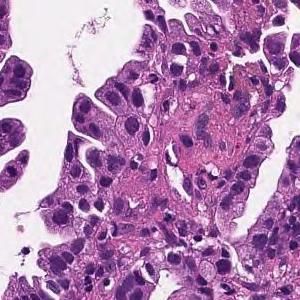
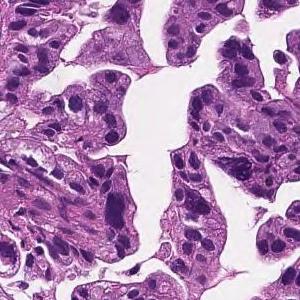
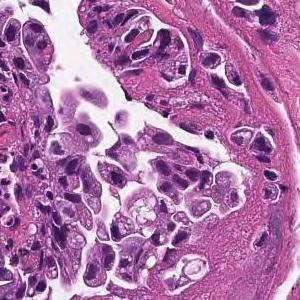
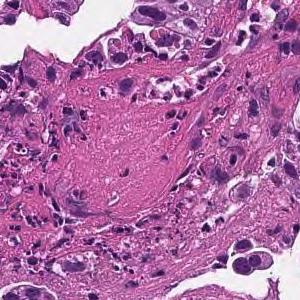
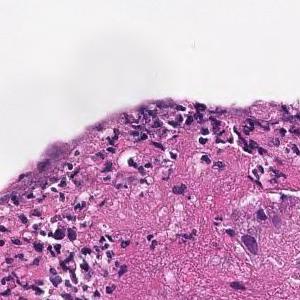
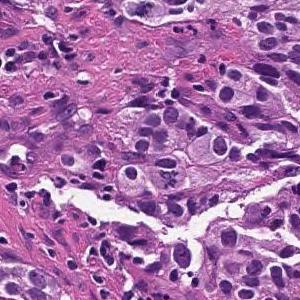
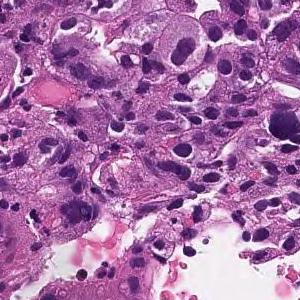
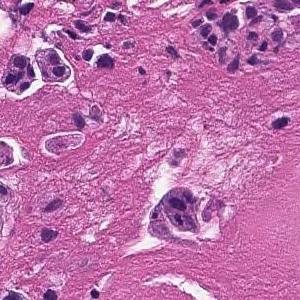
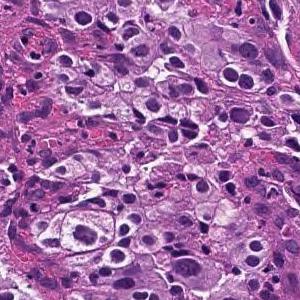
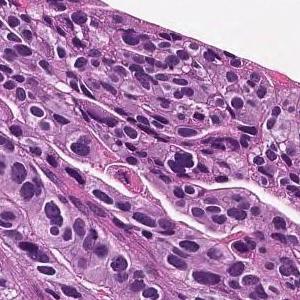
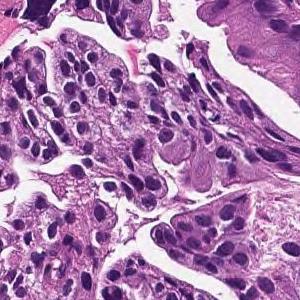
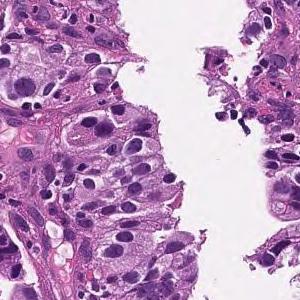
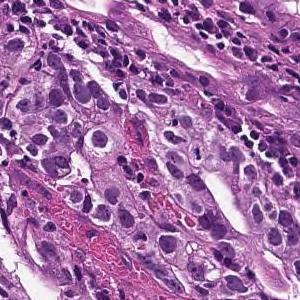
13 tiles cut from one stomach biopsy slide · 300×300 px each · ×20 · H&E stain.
Diagnostic report for the slide these tiles come from. The report and the diagnosis cover the entire slide, so not every feature they name need be visible here, and some tissue shown may not be tumor.
Medium to small, irregular glandular ducts are formed in the superficial epithelium, and in some cases, the glandular ducts are fused to show solid alveolar lesions and infiltrating tumor tissue is observed. Moderately to poorly differentiated adenocarcinoma.
